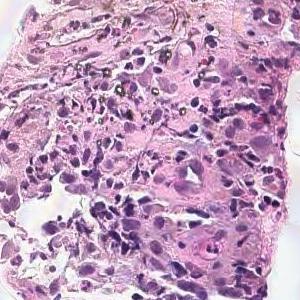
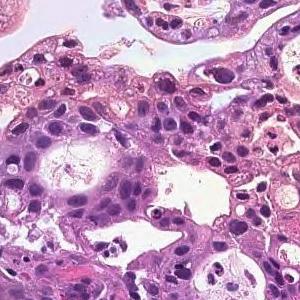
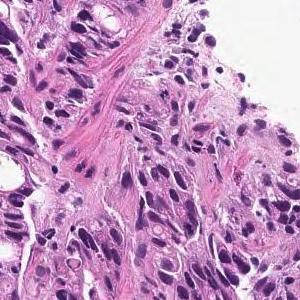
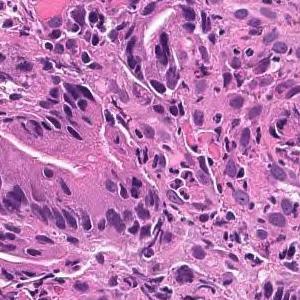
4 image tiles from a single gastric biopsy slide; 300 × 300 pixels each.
Diagnostic report for the slide these tiles come from. The report describes the whole slide, diagnosis included: not every finding it names need appear in these tiles, which may also show non-tumor tissue.
On the superficial epithelium, tumor tissue consisting of large irregular glandular ducts partially fused and infiltrated is observed. Well to moderately differentiated tubular adenocarcinoma (well differentiated tubular adenocarcinoma, moderately differentiated tubular adenocarcinoma)
Histological subtype: Well to moderately differentiated tubular adenocarcinoma.
